H&E stain · 7 image tiles from a single gastric biopsy slide.
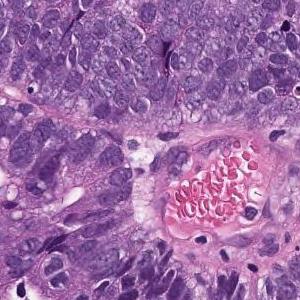
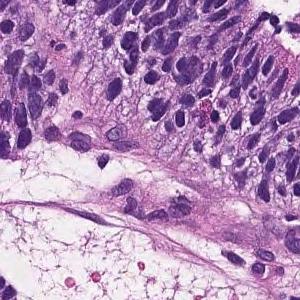
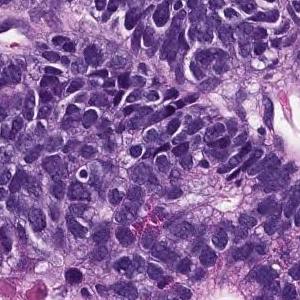
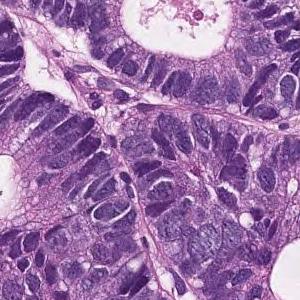
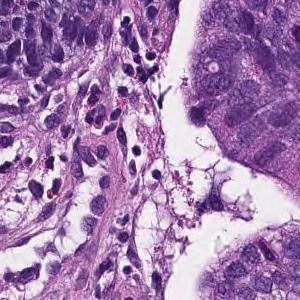
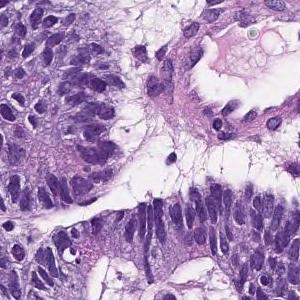
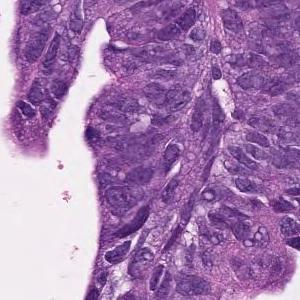
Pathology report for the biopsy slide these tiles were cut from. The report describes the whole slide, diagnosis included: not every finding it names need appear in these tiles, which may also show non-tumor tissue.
In the superficial epithelium, tumor tissue that invades by forming medium-sized to small, irregular ducts is observed. moderately differentiated tubular adenocarcinoma.
